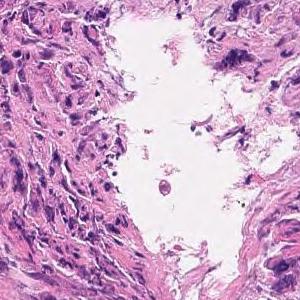
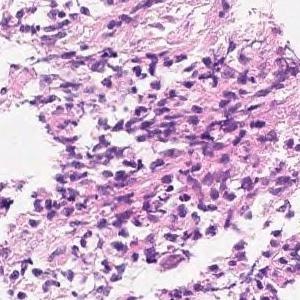
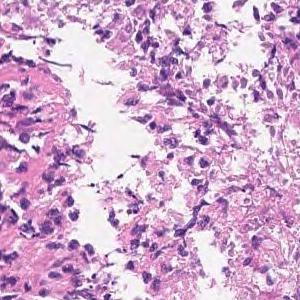
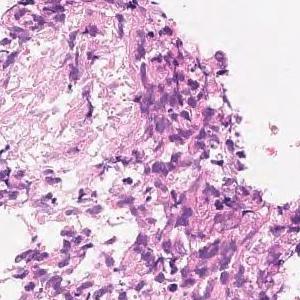
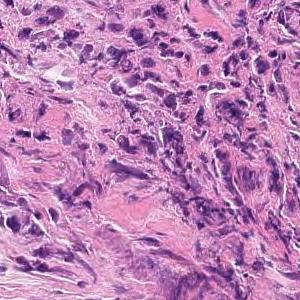
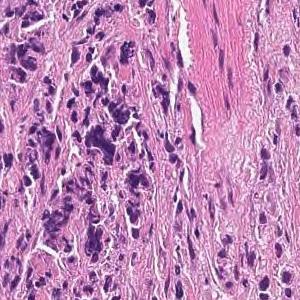
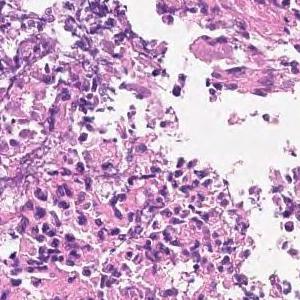
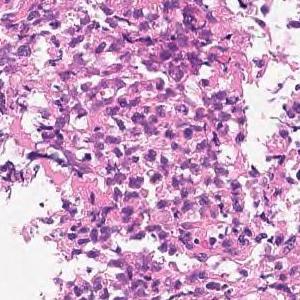
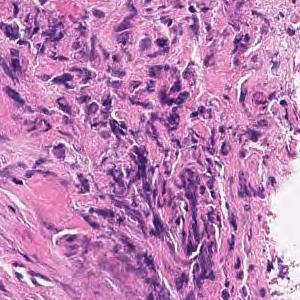
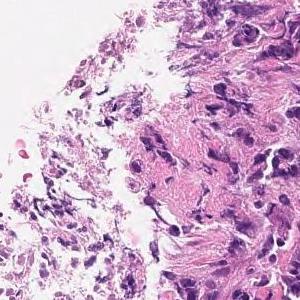
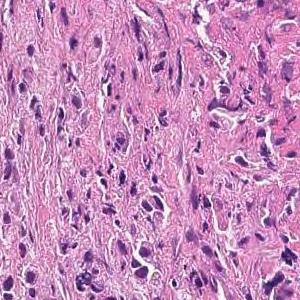
11 tiles cut from one stomach biopsy slide, 300×300 px each, H&E, 20× magnification.
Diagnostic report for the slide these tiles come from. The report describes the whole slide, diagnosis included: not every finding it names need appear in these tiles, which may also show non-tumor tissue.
Tumor tissue consisting of cord-like or small, irregular glandular ducts fused and infiltrated is observed in the superficial epithelium. Poorly differentiated adenocarcinoma, non-solid type
"Non-solid type" is a category of the Japanese Classification of Gastric Carcinoma.
